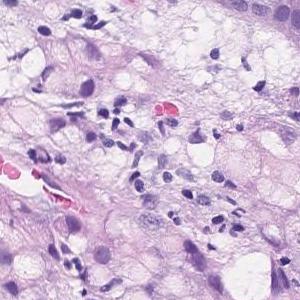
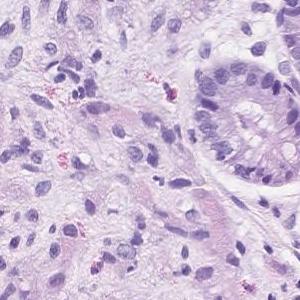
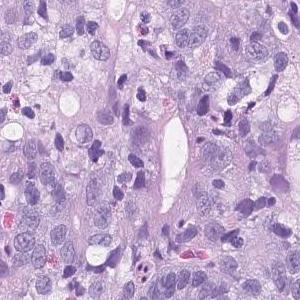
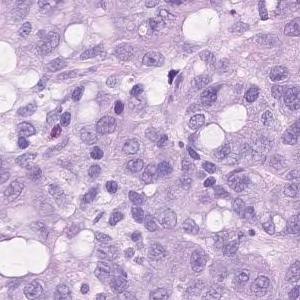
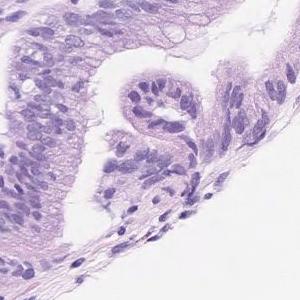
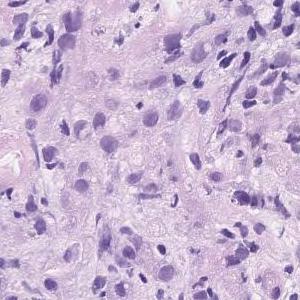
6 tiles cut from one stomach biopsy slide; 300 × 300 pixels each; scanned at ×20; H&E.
The pathologist's report on the biopsy slide these tiles were taken from. The report and the diagnosis cover the entire slide, so not every feature they name need be visible here, and some tissue shown may not be tumor.
Group 5, Adenocarcinoma. Poorly differentiated adenocarcinoma, non-solid type
"Non-solid type" is a category of the Japanese Classification of Gastric Carcinoma.
